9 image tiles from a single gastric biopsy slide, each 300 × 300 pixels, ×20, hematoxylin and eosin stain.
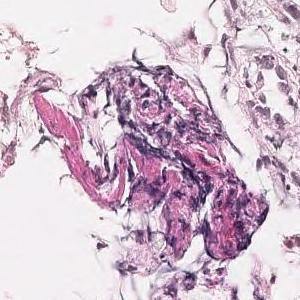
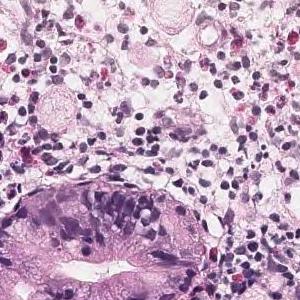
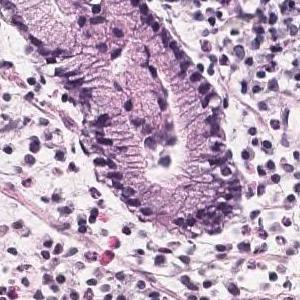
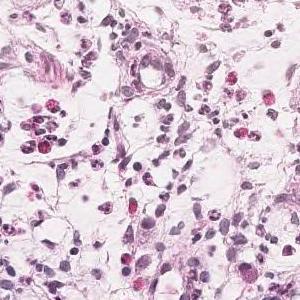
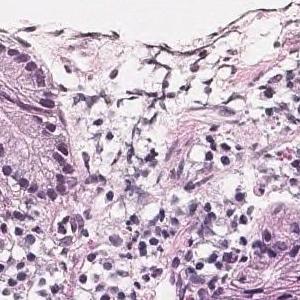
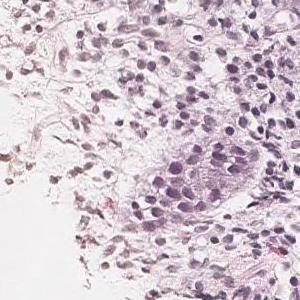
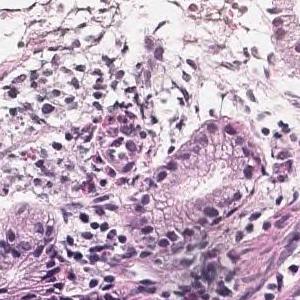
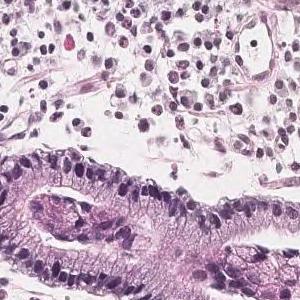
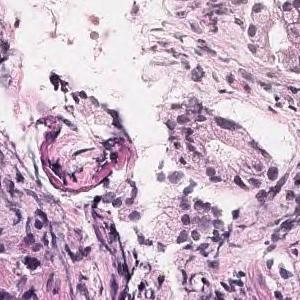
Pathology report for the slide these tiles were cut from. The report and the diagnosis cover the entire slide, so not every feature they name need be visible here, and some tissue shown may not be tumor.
Tumor tissue is observed in which atypical epithelial cells with mucus in the vesicles proliferate while being isolated. Signet ring cell carcinoma
